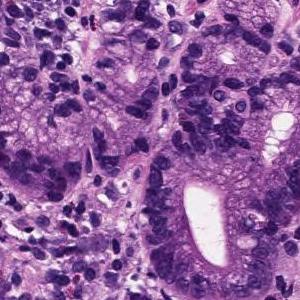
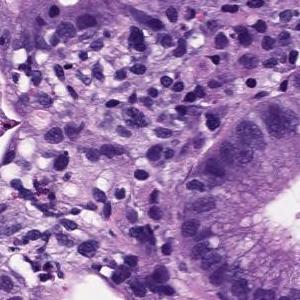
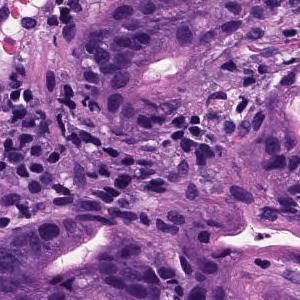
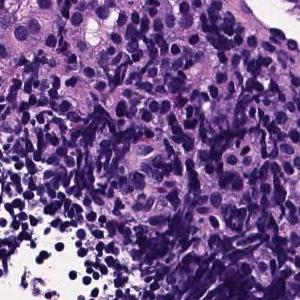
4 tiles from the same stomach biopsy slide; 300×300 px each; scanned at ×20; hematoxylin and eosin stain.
The pathologist's report on the biopsy slide these tiles were taken from. The report describes the whole slide, diagnosis included: not every finding it names need appear in these tiles, which may also show non-tumor tissue.
Medium to small, irregular glandular ducts are formed in the superficial epithelium, and in some cases, the glandular ducts are fused to show solid alveolar lesions and infiltrating tumor tissue is observed. Moderately to poorly differentiated adenocarcinoma.
